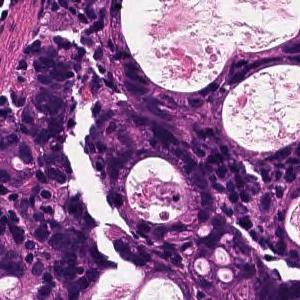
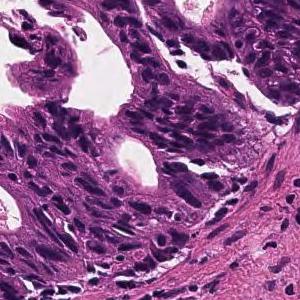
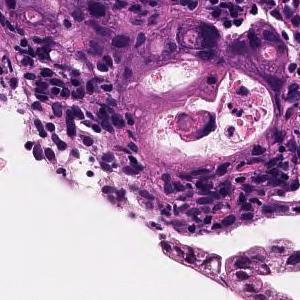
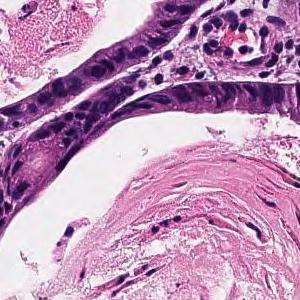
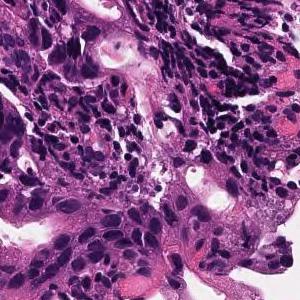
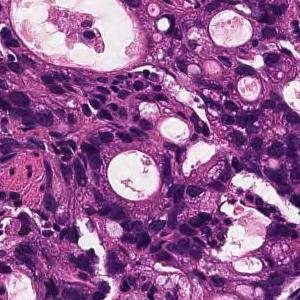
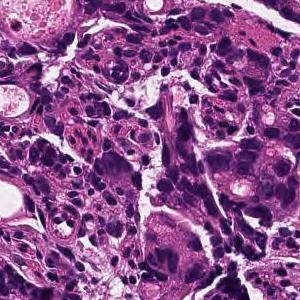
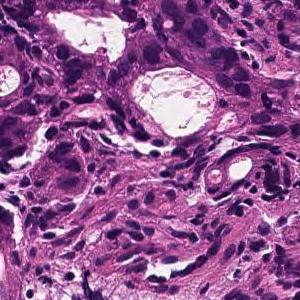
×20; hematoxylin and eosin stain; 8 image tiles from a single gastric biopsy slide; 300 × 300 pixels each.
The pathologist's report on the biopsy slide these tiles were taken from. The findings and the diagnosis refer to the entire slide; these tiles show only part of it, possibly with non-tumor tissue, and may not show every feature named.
In the superficial epithelium, tumor tissue that invades by forming medium-sized to small, irregular ducts is observed. moderately differentiated tubular adenocarcinoma.
